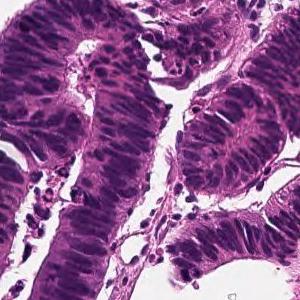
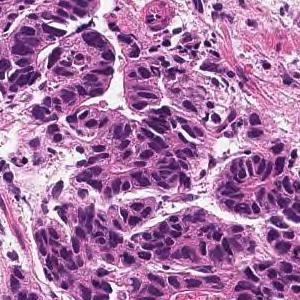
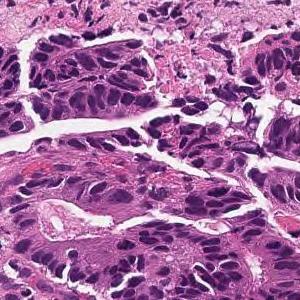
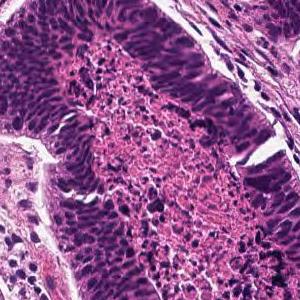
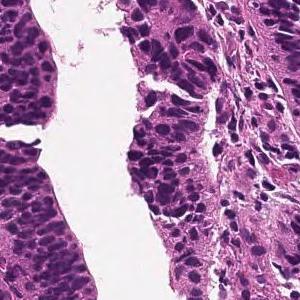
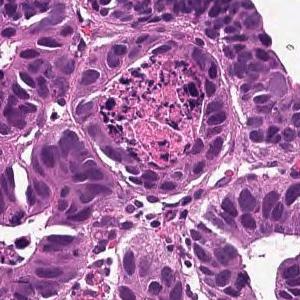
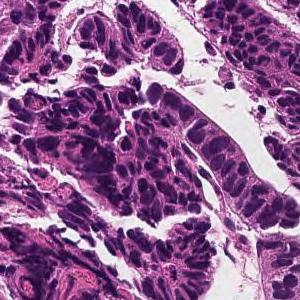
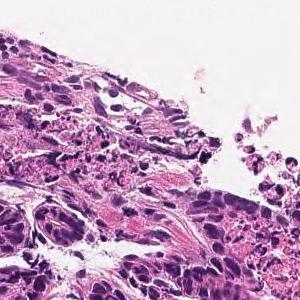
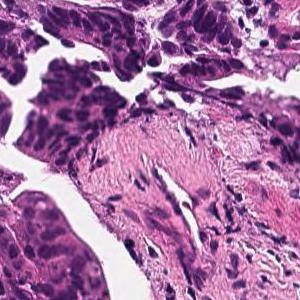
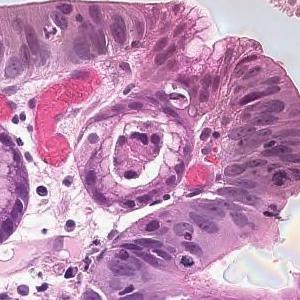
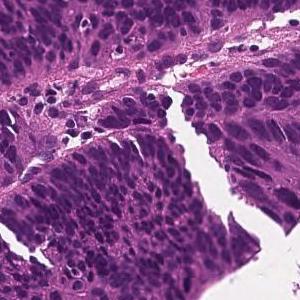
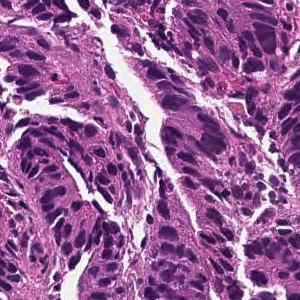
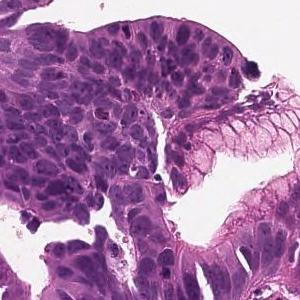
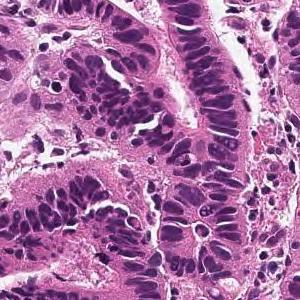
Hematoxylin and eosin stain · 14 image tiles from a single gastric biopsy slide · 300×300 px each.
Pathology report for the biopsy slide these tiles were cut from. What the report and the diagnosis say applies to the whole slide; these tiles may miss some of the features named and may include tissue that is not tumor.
From the superficial epithelium to the muscularis mucosae, tumor tissue consisting of medium-sized and irregular glandular ducts infiltrating is observed. Well differentiated tubular adenocarcinoma
